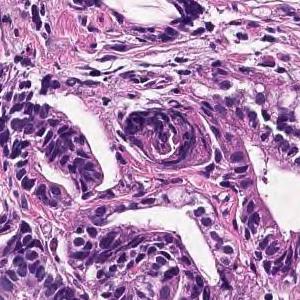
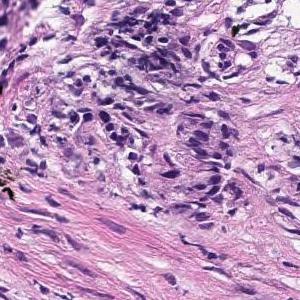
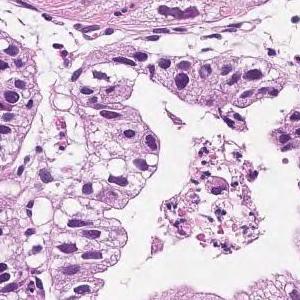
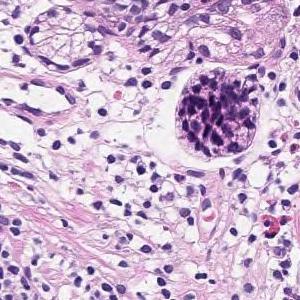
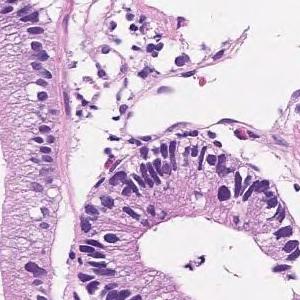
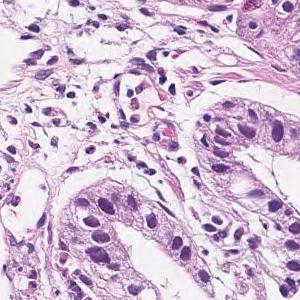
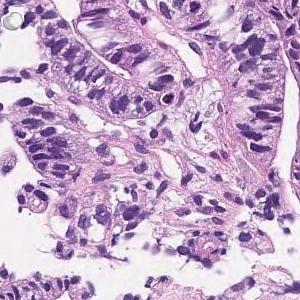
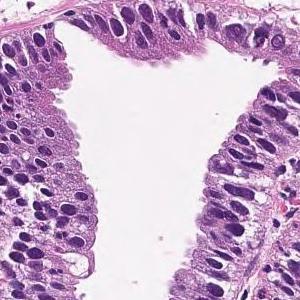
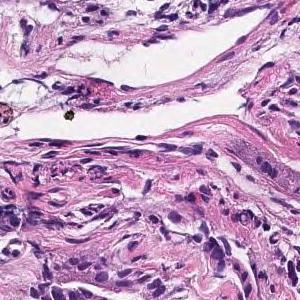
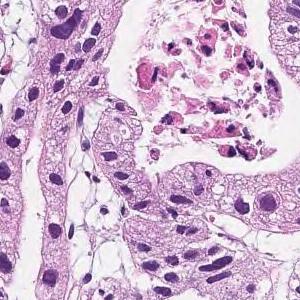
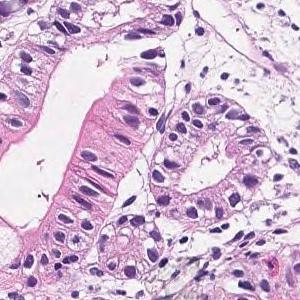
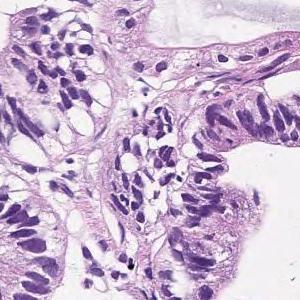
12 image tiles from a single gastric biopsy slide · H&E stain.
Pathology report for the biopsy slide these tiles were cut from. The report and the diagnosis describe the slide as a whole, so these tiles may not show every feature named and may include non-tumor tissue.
In the superficial epithelium, tumor tissue that invades by forming medium-sized to small, irregular ducts is observed. Moderately differentiated adenocarcinoma.
Tumor subtype: moderately differentiated tubular adenocarcinoma.
